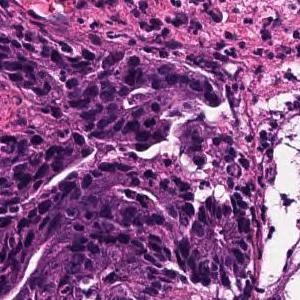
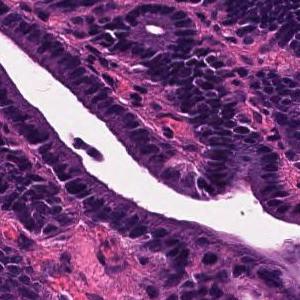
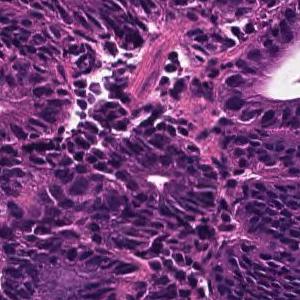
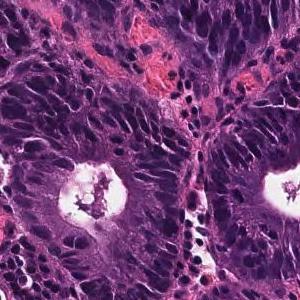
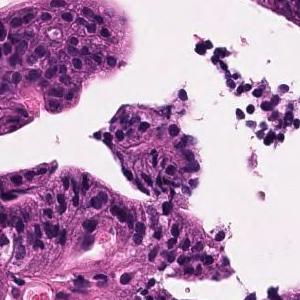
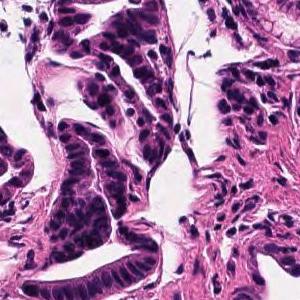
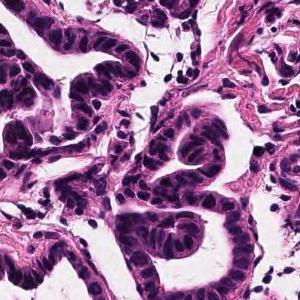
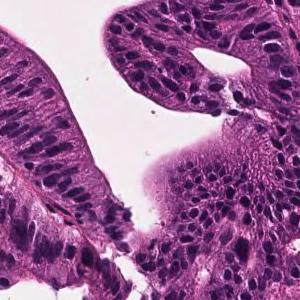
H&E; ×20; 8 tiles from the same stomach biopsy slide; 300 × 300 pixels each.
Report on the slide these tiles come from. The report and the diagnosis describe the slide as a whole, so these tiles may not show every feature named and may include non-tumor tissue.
Tumor tissue that remains within the superficial epithelium and is infiltrated by large papillary or irregular ducts that fuse with each other is observed. Well differentiated tubular adenocarcinoma
